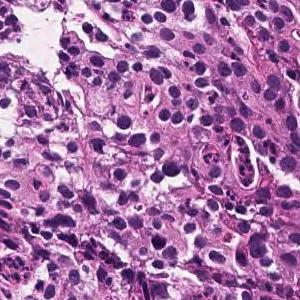
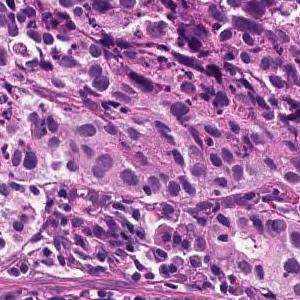
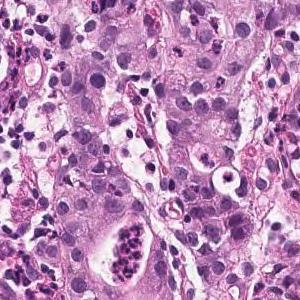
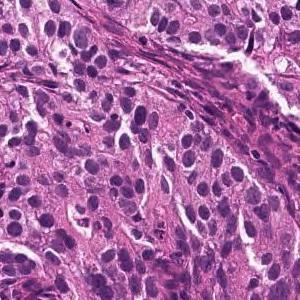
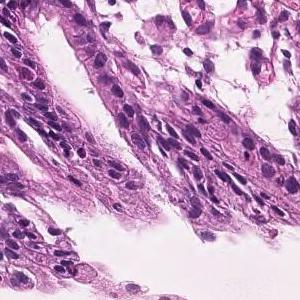
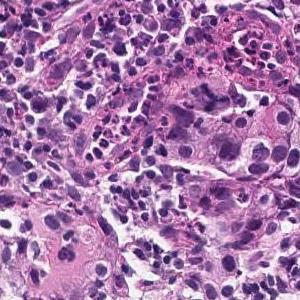
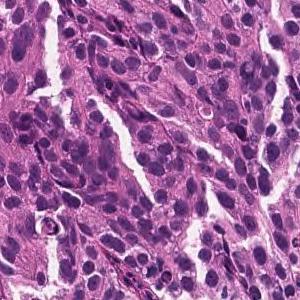
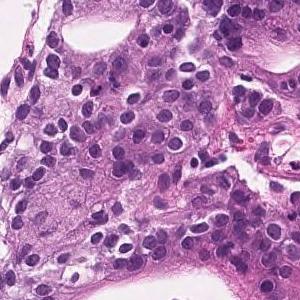
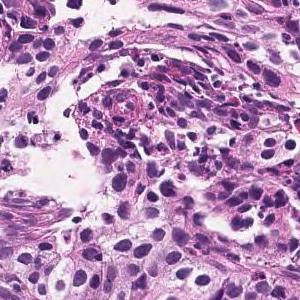
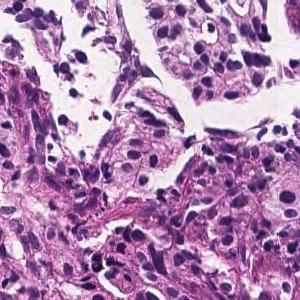
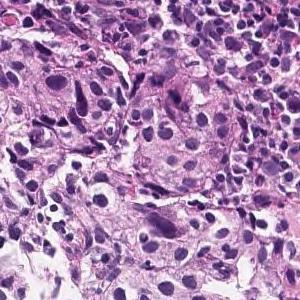
20× magnification, hematoxylin and eosin stain, 11 tiles from the same stomach biopsy slide, 300 × 300 pixels each.
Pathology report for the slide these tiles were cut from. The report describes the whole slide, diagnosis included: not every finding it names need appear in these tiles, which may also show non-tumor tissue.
Medium to small, irregular glandular ducts are formed in the superficial epithelium, and in some cases, the glandular ducts are fused to show solid alveolar lesions and infiltrating tumor tissue is observed. Moderately to poorly differentiated adenocarcinoma.
